Scanned at ×20, 9 image tiles from a single gastric biopsy slide, each 300 × 300 pixels.
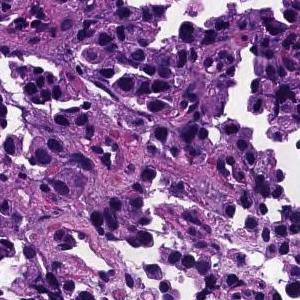
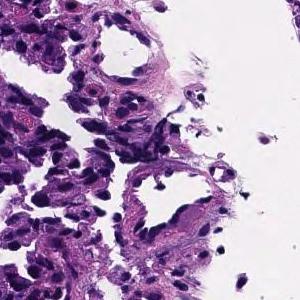
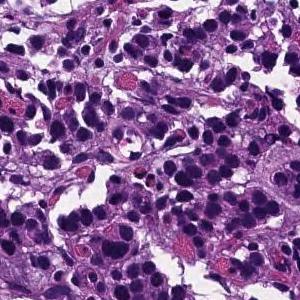
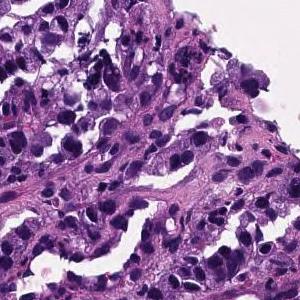
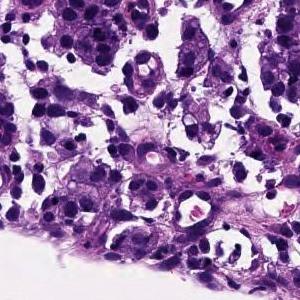
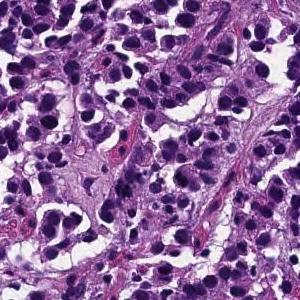
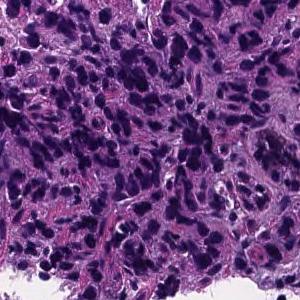
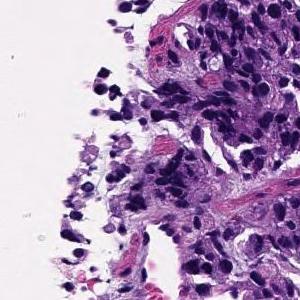
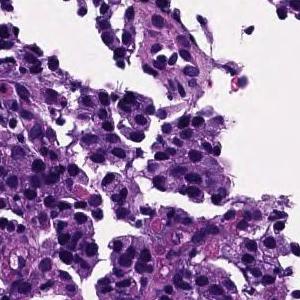
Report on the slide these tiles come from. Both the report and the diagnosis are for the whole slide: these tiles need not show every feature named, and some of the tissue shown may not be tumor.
The superficial epithelium shows a large alveolar shape and infiltrates tumor tissue. Poorly differentiated adenocarcinoma, solid-type
Histological subtype: Poorly differentiated adenocarcinoma, solid type (Japanese Classification of Gastric Carcinoma). The WHO 2019 equivalent is tubular adenocarcinoma, poorly differentiated.
